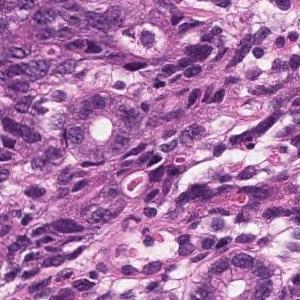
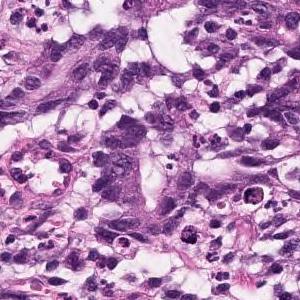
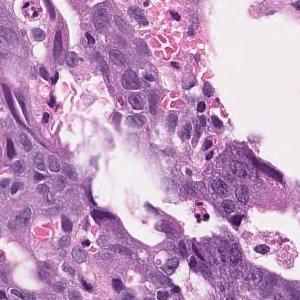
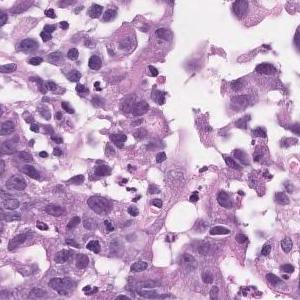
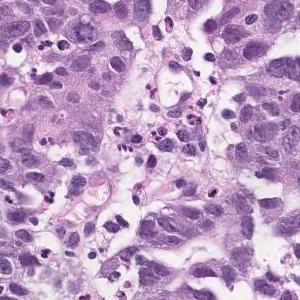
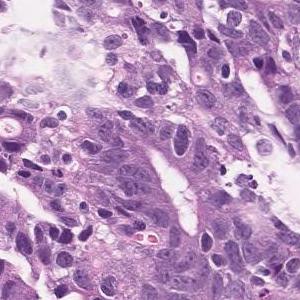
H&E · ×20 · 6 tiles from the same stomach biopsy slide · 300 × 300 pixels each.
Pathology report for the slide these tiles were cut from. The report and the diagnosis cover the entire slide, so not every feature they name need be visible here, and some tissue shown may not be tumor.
It is mixed with the existing pit epithelium and pyloric gland epithelium, and irregularly fused and branched atypical ducts are observed. Moderately differentiated tubular adenocarcinoma (well differentiated tubular adenocarcinoma)
The dataset labels this slide moderately differentiated tubular adenocarcinoma.
